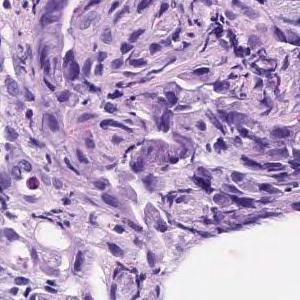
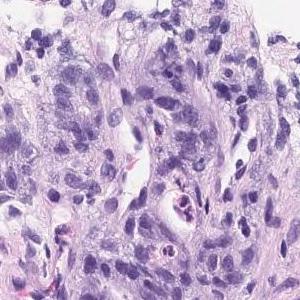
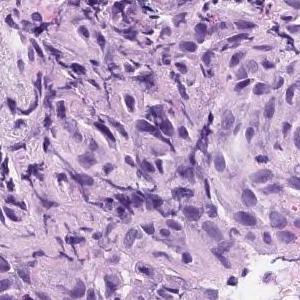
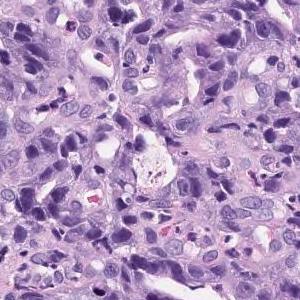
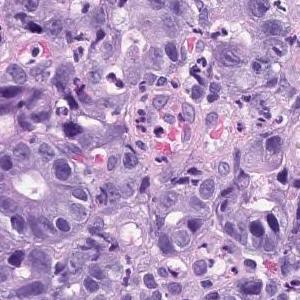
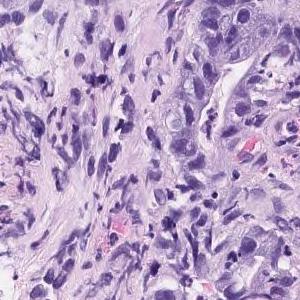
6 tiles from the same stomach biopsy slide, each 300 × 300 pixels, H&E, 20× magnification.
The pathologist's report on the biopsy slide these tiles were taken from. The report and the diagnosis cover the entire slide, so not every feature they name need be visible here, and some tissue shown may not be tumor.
In the superficial epithelium, tumor tissue that invades by forming medium-sized to small, irregular ducts is observed. Moderately differentiated adenocarcinoma.
Histologic type: Moderately differentiated tubular adenocarcinoma.
